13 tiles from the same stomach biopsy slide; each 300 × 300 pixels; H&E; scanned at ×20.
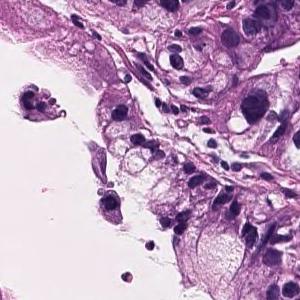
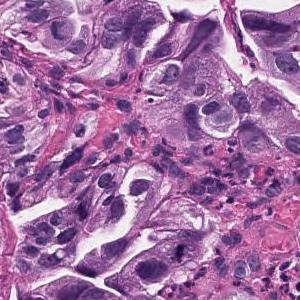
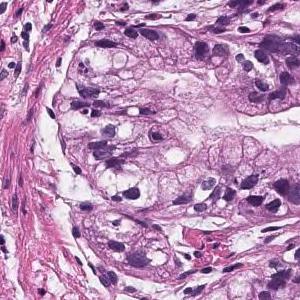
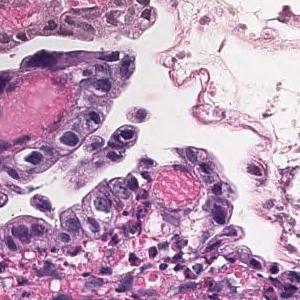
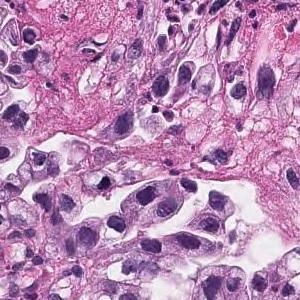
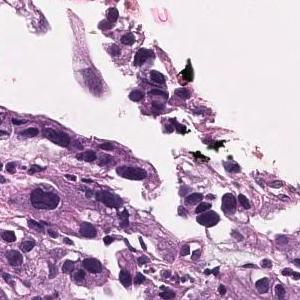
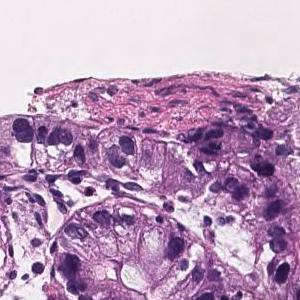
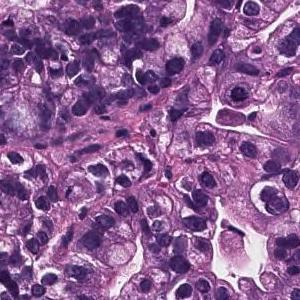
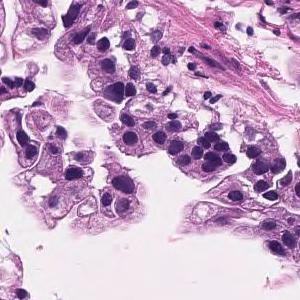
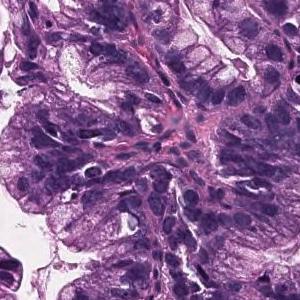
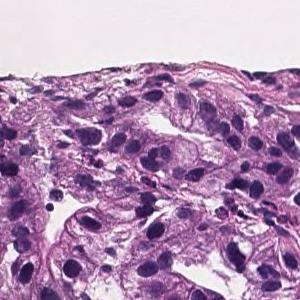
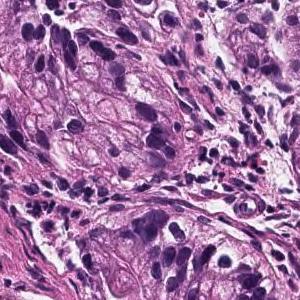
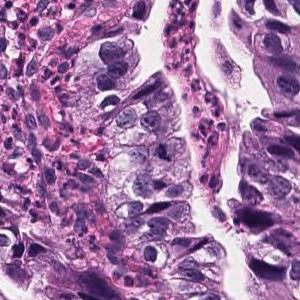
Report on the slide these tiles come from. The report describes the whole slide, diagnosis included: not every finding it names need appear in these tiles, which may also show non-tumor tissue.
Tumor cells are large, highly columnar, large club-shaped nuclei, and are associated with chromatin aggregation. Papillary adenocarcinoma.
